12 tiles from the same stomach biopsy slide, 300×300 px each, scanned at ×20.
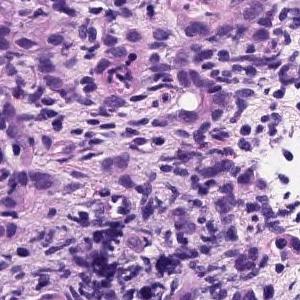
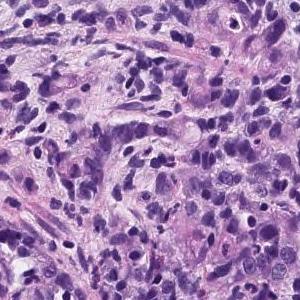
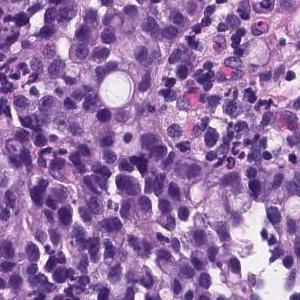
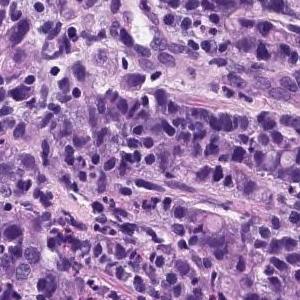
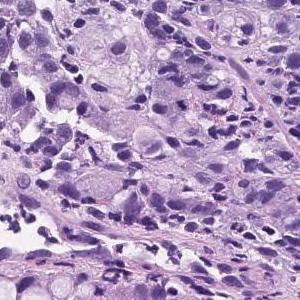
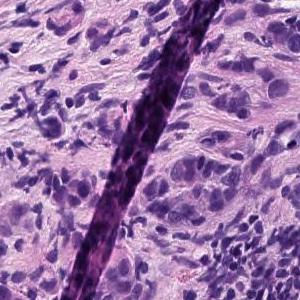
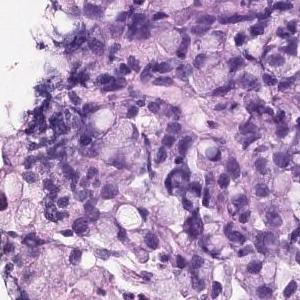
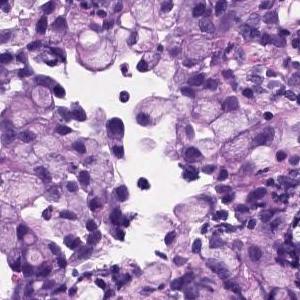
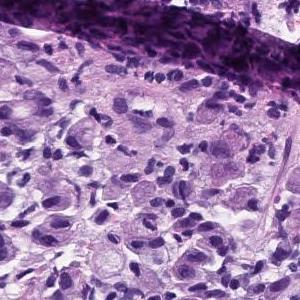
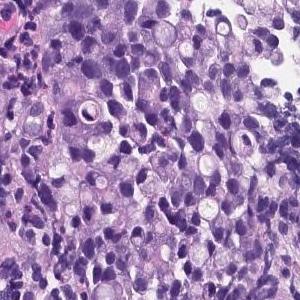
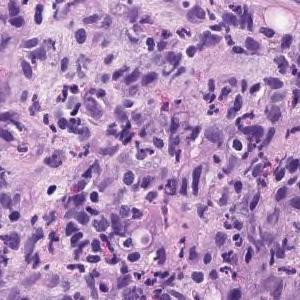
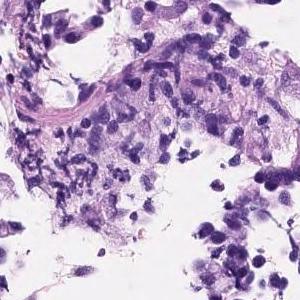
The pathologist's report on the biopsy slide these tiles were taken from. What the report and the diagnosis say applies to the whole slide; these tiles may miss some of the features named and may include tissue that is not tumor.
Diffusely growing signet-ring cells are found in the lamina propria. Signet ring cell carcinoma.
